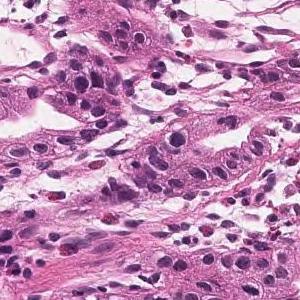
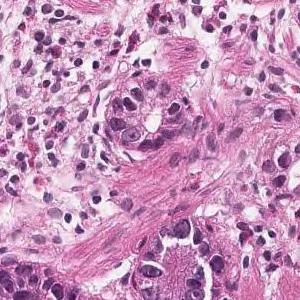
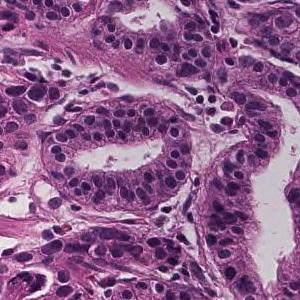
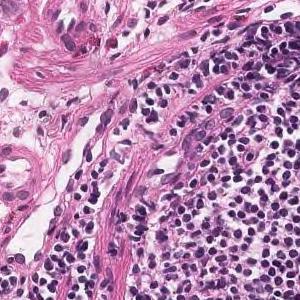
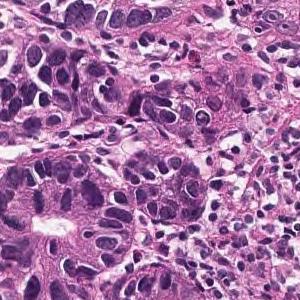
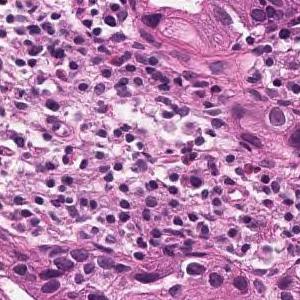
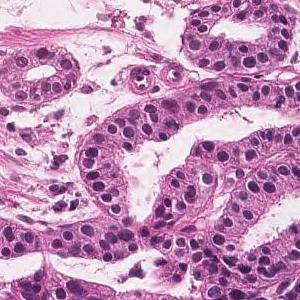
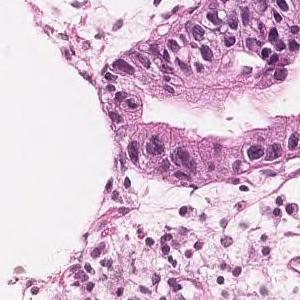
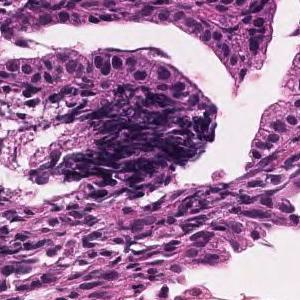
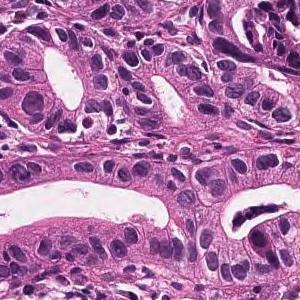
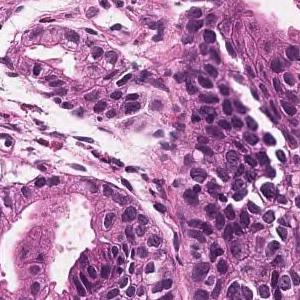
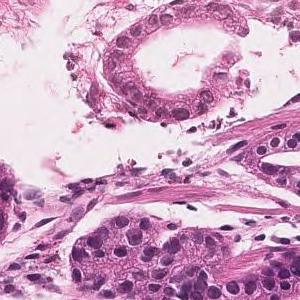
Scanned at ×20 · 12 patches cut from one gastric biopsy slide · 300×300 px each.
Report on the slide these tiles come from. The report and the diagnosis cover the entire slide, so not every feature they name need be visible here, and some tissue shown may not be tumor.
Tumor tissue consisting of medium-sized and irregular ducts is observed infiltrating in the superficial epithelium. Tumor cells are highly columnar, with nuclei aligned basolaterally and polarized. Well differentiated tubular adenocarcinoma.
